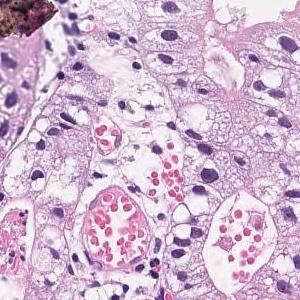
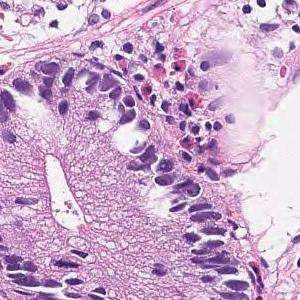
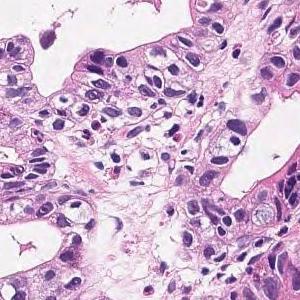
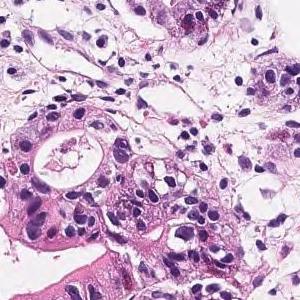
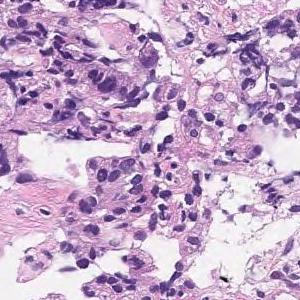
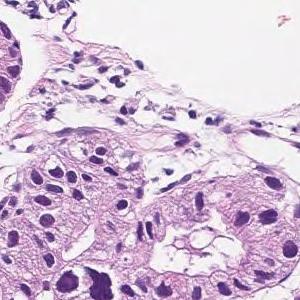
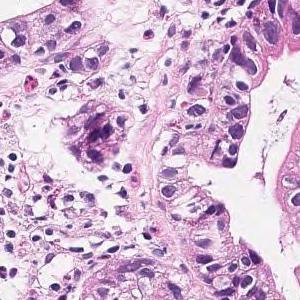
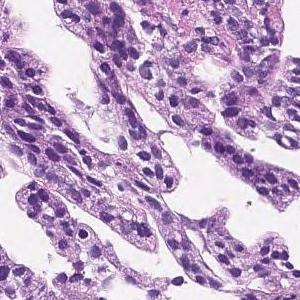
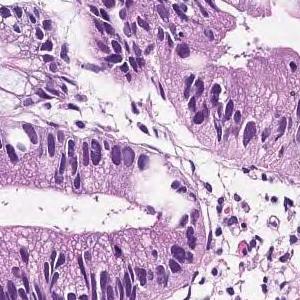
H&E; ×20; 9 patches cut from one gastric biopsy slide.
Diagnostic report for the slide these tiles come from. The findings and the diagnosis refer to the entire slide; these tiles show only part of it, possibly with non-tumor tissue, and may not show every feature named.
In the superficial epithelium, tumor tissue that invades by forming medium-sized to small, irregular ducts is observed. Moderately differentiated adenocarcinoma.
Subtype: Moderately differentiated tubular adenocarcinoma.
